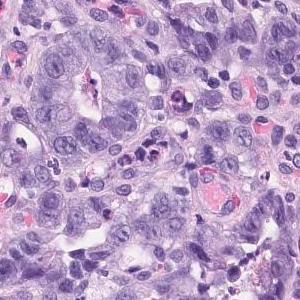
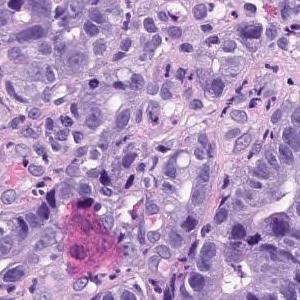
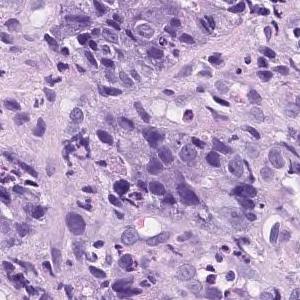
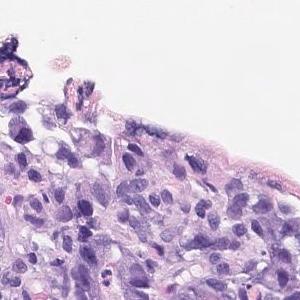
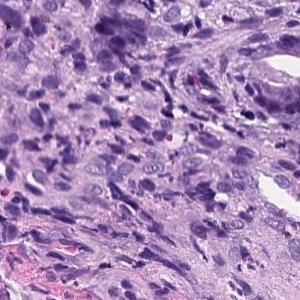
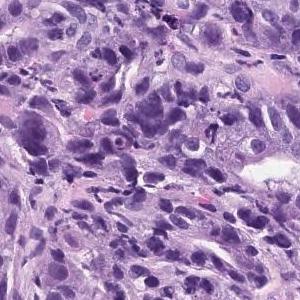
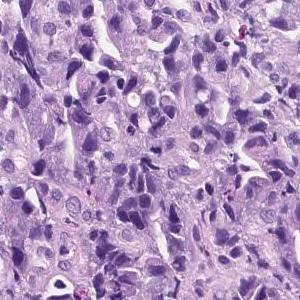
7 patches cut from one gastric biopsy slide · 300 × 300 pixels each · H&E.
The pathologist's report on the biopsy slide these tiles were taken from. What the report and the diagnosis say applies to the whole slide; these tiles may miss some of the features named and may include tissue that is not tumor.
In the superficial epithelium, tumor tissue that invades by forming medium-sized to small, irregular ducts is observed. Moderately differentiated adenocarcinoma.
Tumor subtype: moderately differentiated tubular adenocarcinoma.
